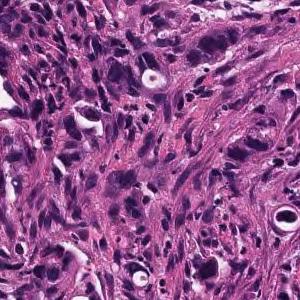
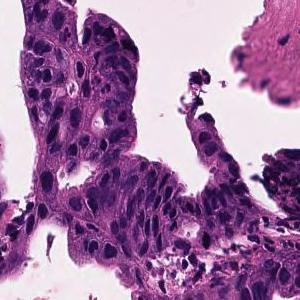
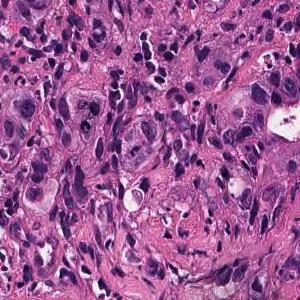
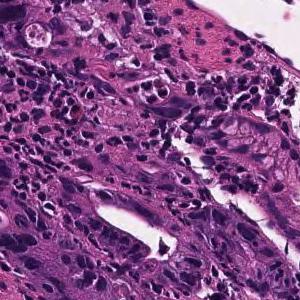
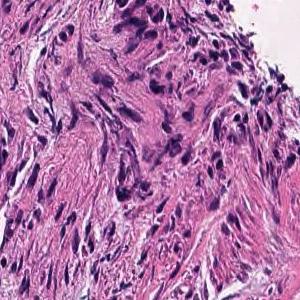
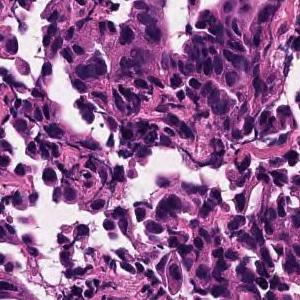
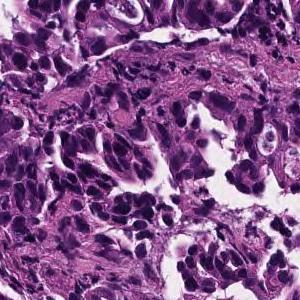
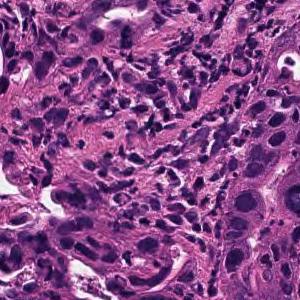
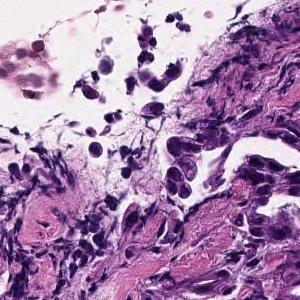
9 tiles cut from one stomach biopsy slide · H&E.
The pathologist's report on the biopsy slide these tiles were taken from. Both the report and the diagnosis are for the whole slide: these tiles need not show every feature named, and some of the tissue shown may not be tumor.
In the superficial epithelium, medium-sized to small irregular glandular ducts are formed, and in some cases, the glandular ducts are fused or small cord-like infiltrating tumor tissue is observed. moderately differentiated tubular adenocarcinoma
